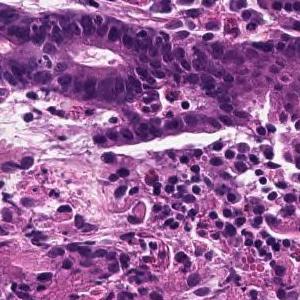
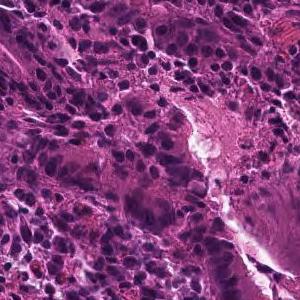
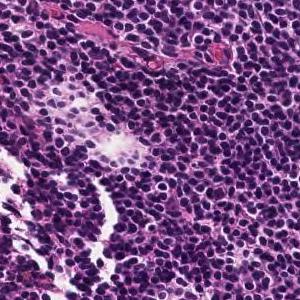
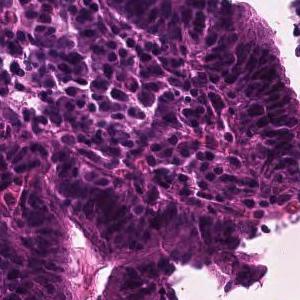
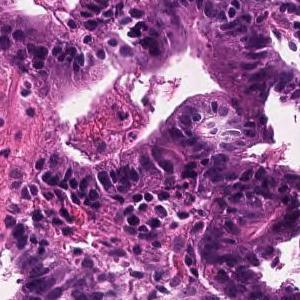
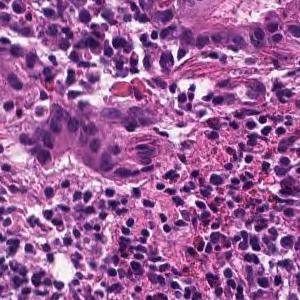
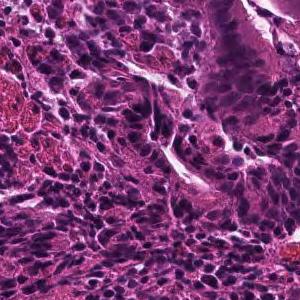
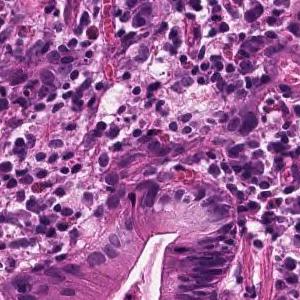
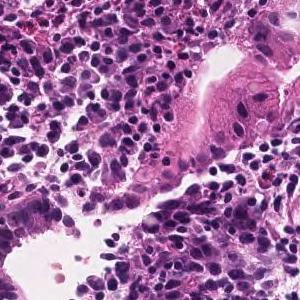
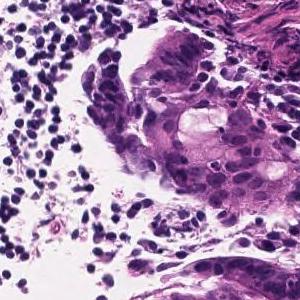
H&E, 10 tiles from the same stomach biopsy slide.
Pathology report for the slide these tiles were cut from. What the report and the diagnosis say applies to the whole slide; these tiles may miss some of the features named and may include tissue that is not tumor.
Tumor tissue consisting of medium-sized, cord-like or irregular glandular infiltration is observed in the superficial epithelium. Poorly differentiated adenocarcinoma, non-solid type or moderately differentiated tubular adenocarcinoma
The dataset labels this slide poorly differentiated adenocarcinoma, non-solid type.
The non-solid type named here is a Japanese Classification of Gastric Carcinoma category.
